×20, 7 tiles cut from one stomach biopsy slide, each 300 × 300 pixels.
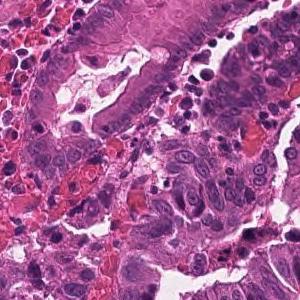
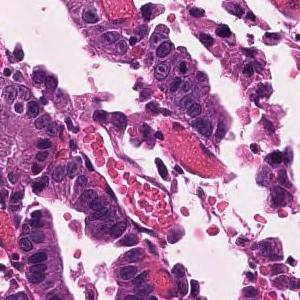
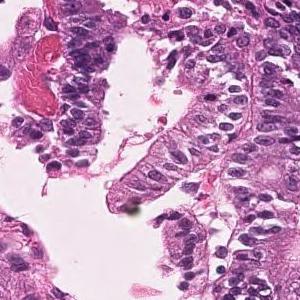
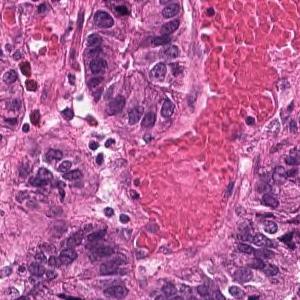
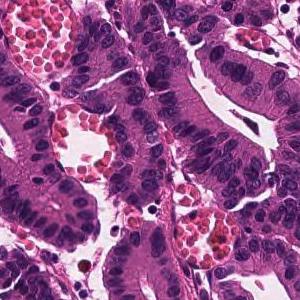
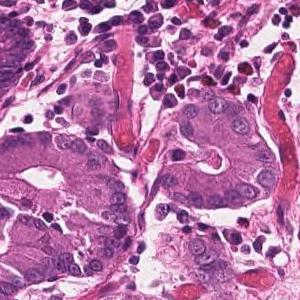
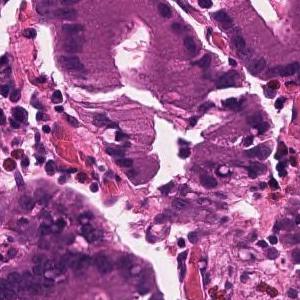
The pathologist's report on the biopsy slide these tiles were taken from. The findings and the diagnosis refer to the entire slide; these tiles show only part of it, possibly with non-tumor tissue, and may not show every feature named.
Infiltrating tumor tissue with medium-sized, irregular ductal structure or large papillary appearance is observed. Well differentiated tubular adenocarcinoma
